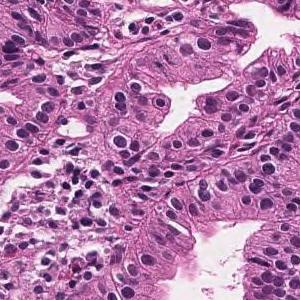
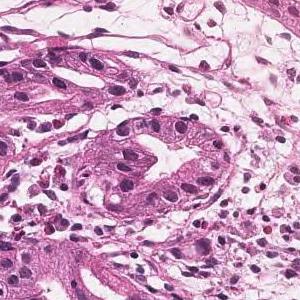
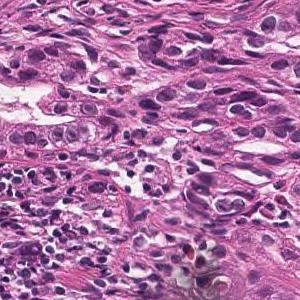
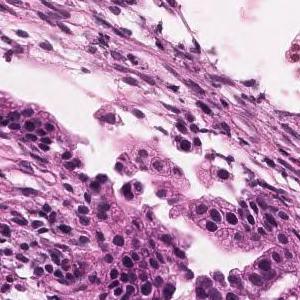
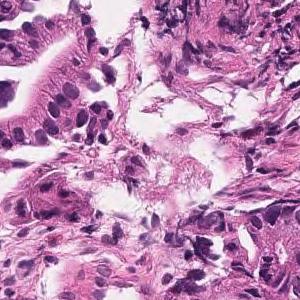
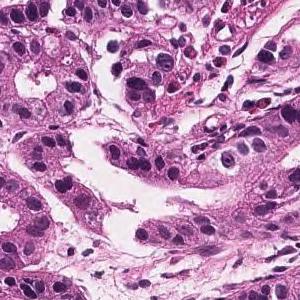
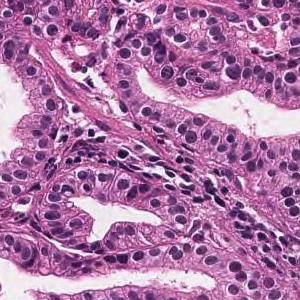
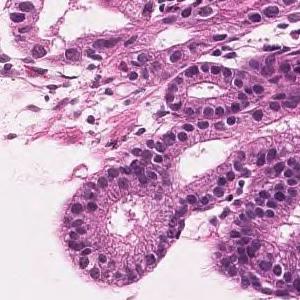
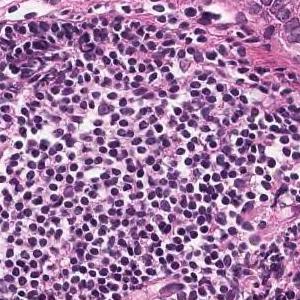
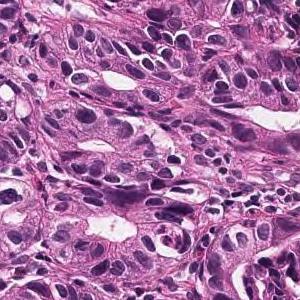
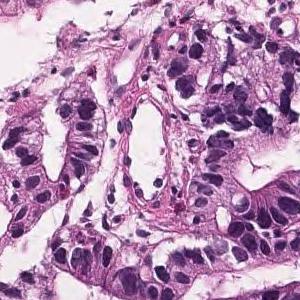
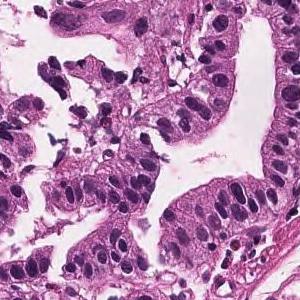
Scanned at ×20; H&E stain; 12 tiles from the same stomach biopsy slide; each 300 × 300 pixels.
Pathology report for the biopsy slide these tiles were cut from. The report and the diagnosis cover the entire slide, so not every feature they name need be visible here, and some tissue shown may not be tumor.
Tumor tissue consisting of medium-sized and irregular ducts is observed infiltrating in the superficial epithelium. Tumor cells are highly columnar, with nuclei aligned basolaterally and polarized. Well differentiated tubular adenocarcinoma.
